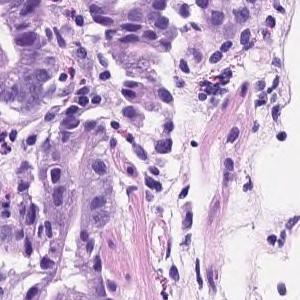
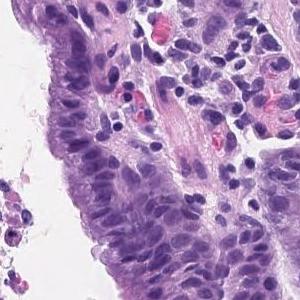
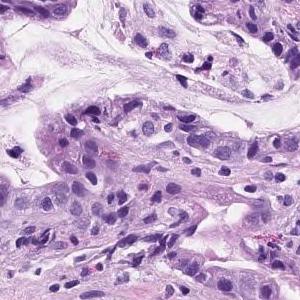
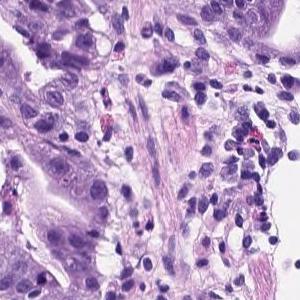
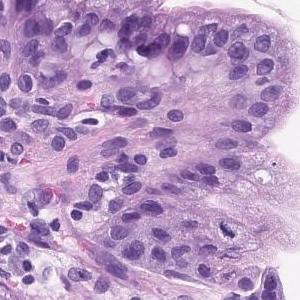
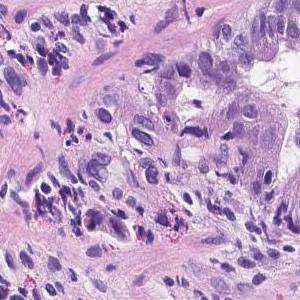
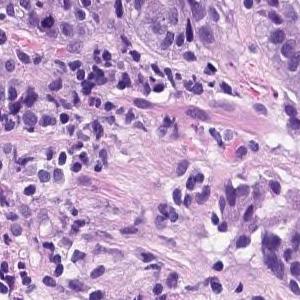
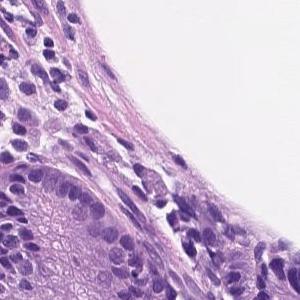
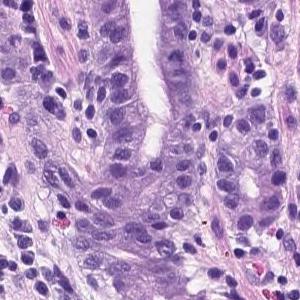
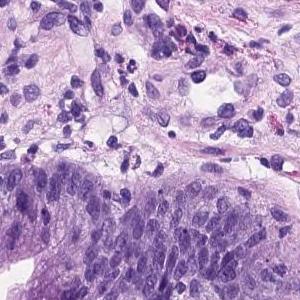
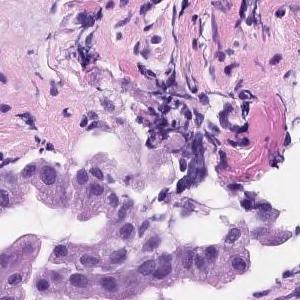
H&E; ×20; 11 tiles from the same stomach biopsy slide; 300 × 300 pixels each.
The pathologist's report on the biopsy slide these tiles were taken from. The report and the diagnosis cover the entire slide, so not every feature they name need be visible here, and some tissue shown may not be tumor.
Tumor tissue consisting of medium-sized and irregular ducts is observed infiltrating in the superficial epithelium. Tumor cells are highly columnar, with nuclei aligned basolaterally and polarized. Well differentiated tubular adenocarcinoma.
